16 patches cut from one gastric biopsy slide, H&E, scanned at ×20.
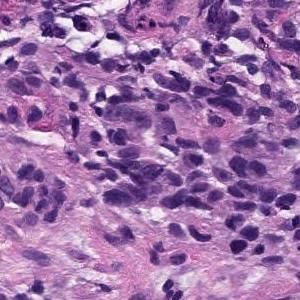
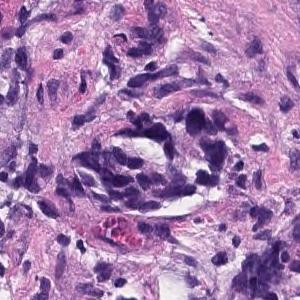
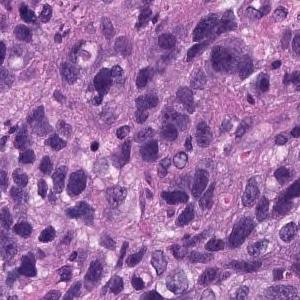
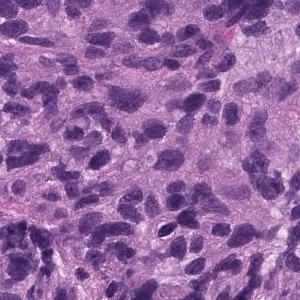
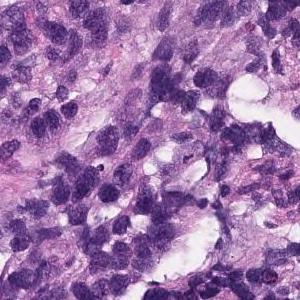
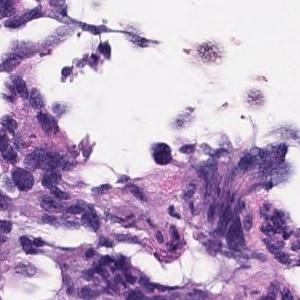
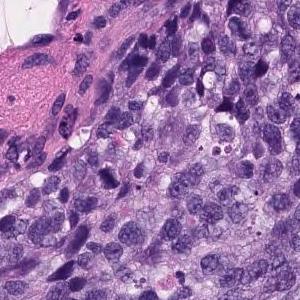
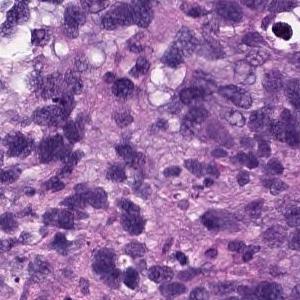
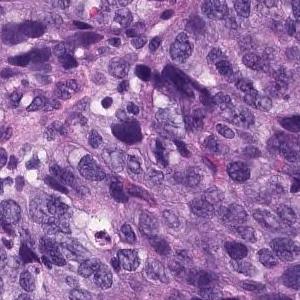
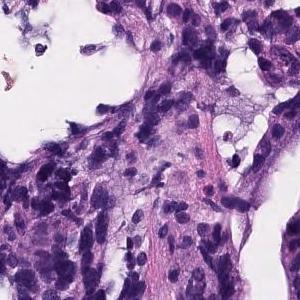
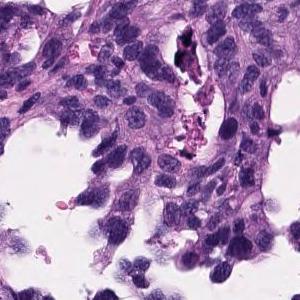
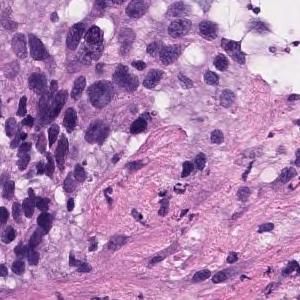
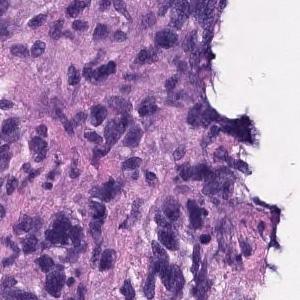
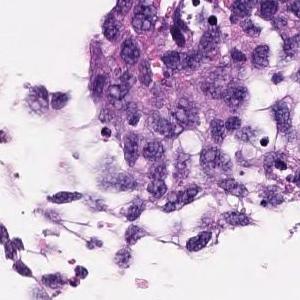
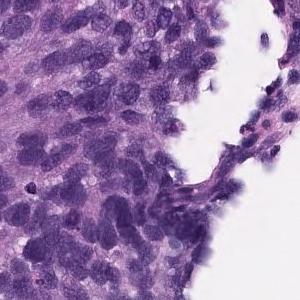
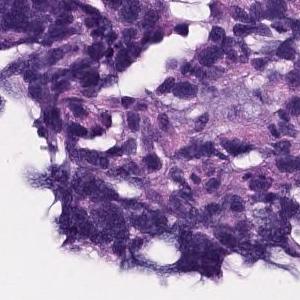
The pathologist's report on the biopsy slide these tiles were taken from. The findings and the diagnosis refer to the entire slide; these tiles show only part of it, possibly with non-tumor tissue, and may not show every feature named.
Atypical l cells with atypical nuclei under the mucosa growing in isolation and scattered. Poorly differentiated adenocarcinoma (poorly differentiated adenocarcinoma, non-solid type)
Histologic type: Poorly differentiated adenocarcinoma, non-solid type.
"Non-solid type" is a category of the Japanese Classification of Gastric Carcinoma.
